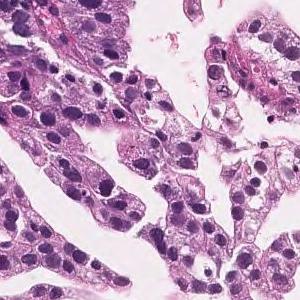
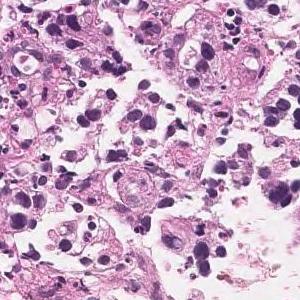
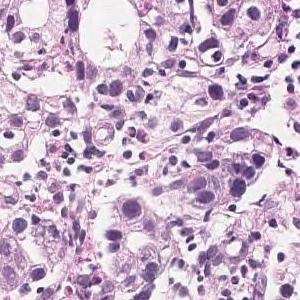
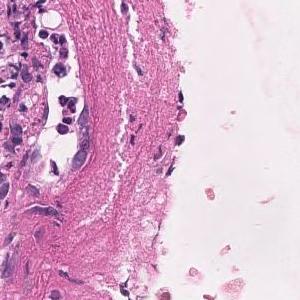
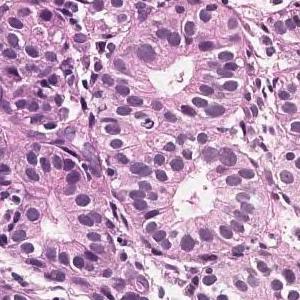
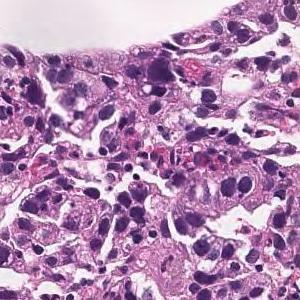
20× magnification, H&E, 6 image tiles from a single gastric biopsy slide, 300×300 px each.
Report on the slide these tiles come from. The report and the diagnosis describe the slide as a whole, so these tiles may not show every feature named and may include non-tumor tissue.
In the superficial epithelium, tumor tissue that invades by forming medium-sized to small, irregular ducts is observed. moderately differentiated tubular adenocarcinoma.
